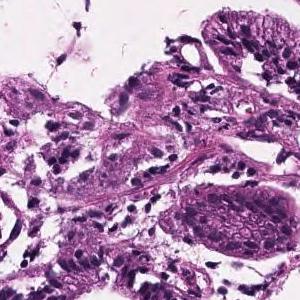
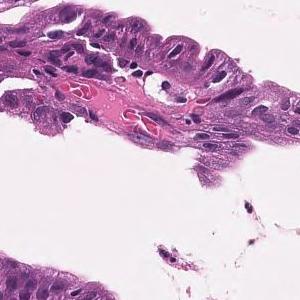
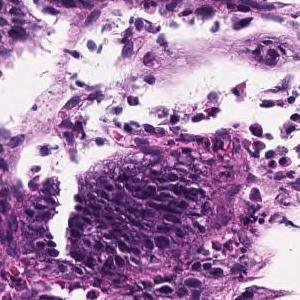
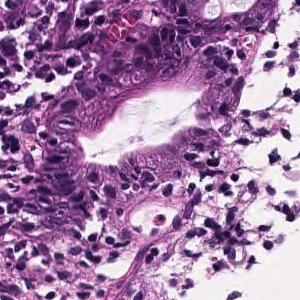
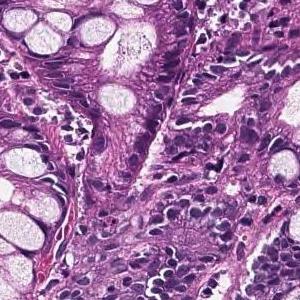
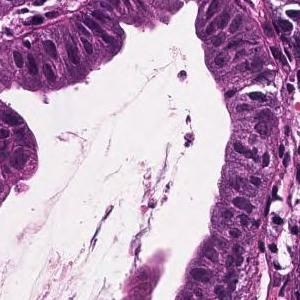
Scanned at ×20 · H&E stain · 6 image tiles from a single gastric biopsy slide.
The pathologist's report on the biopsy slide these tiles were taken from. The findings and the diagnosis refer to the entire slide; these tiles show only part of it, possibly with non-tumor tissue, and may not show every feature named.
In the superficial epithelium, tumor tissue that invades by forming medium-sized to small, irregular ducts is observed. Well differentiated tubular adenocarcinoma.
